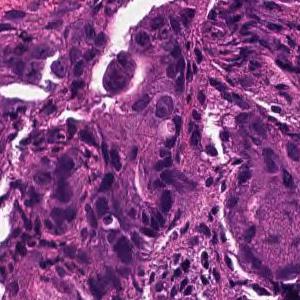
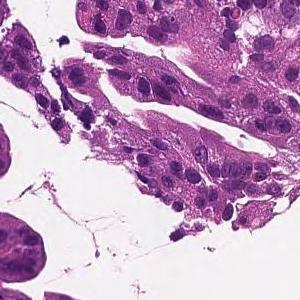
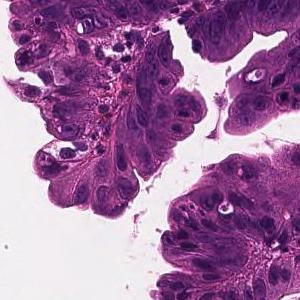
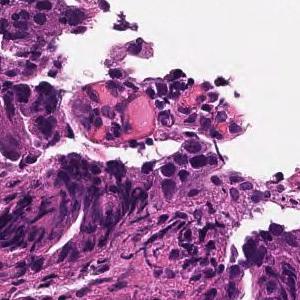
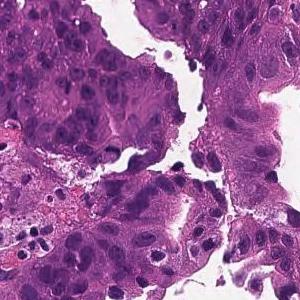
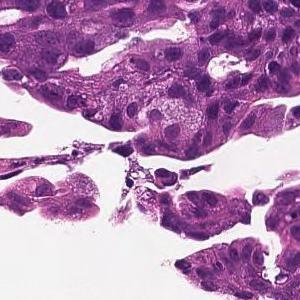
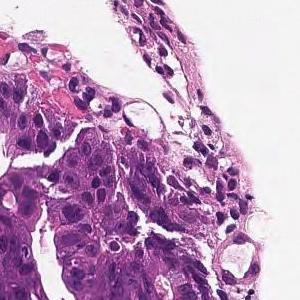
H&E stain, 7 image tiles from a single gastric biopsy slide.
Diagnostic report for the slide these tiles come from. Both the report and the diagnosis are for the whole slide: these tiles need not show every feature named, and some of the tissue shown may not be tumor.
On the superficial epithelium, tumor tissue is found in which medium-sized irregular gland ducts fuse with each other and infiltrate. moderately differentiated tubular adenocarcinoma
